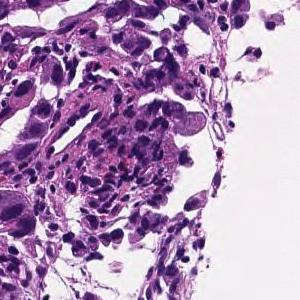
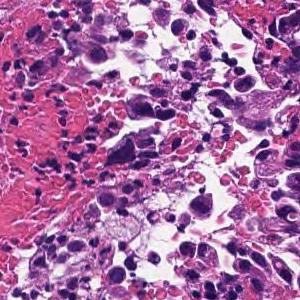
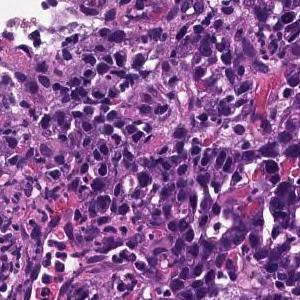
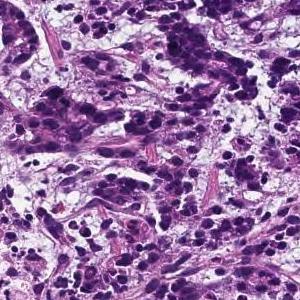
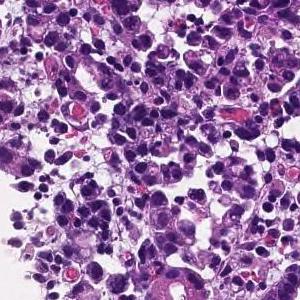
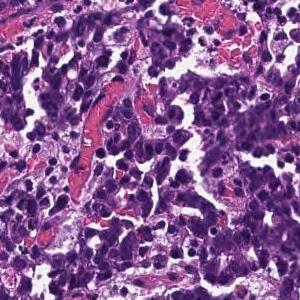
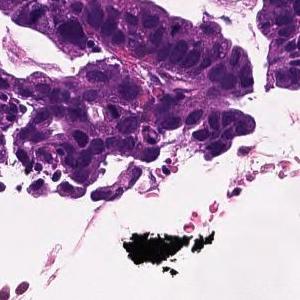
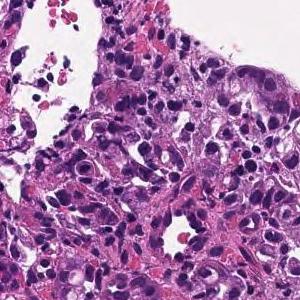
8 image tiles from a single gastric biopsy slide; hematoxylin and eosin stain; scanned at ×20.
Pathology report for the slide these tiles were cut from. The report and the diagnosis cover the entire slide, so not every feature they name need be visible here, and some tissue shown may not be tumor.
In the superficial epithelium, tumor tissue that invades by forming medium-sized to small, irregular ducts is observed. moderately differentiated tubular adenocarcinoma.
